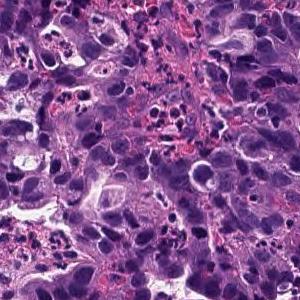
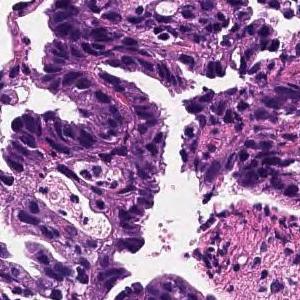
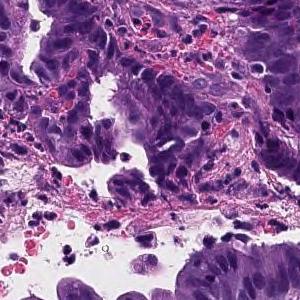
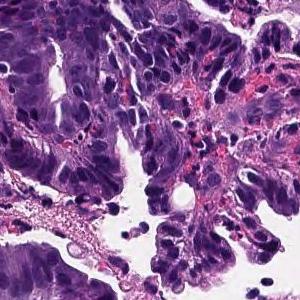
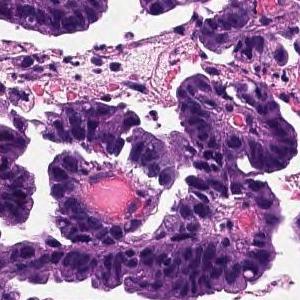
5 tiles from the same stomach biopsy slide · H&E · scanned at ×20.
Pathology report for the slide these tiles were cut from. What the report and the diagnosis say applies to the whole slide; these tiles may miss some of the features named and may include tissue that is not tumor.
Infiltrating tumor tissue is observed in the superficial epithelium, showing large papillary structures or large and small ducts. Papillary adenocarcinoma
